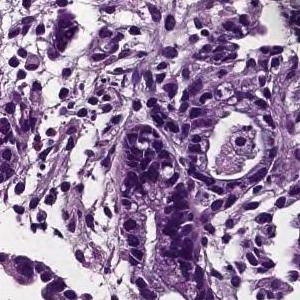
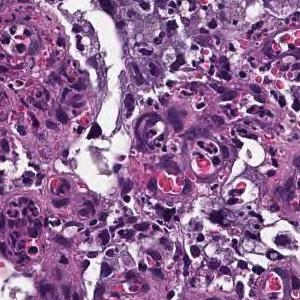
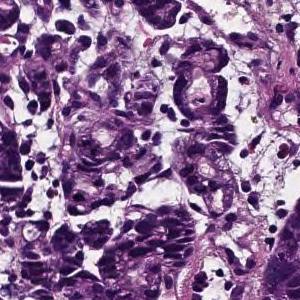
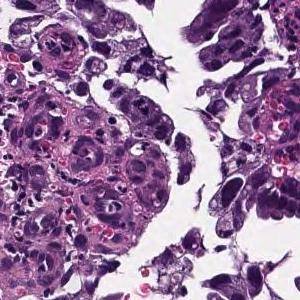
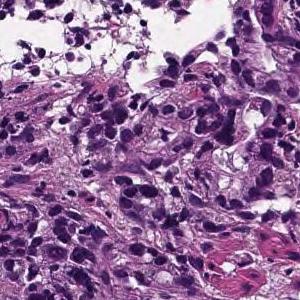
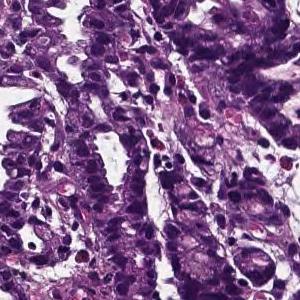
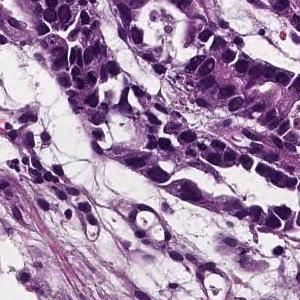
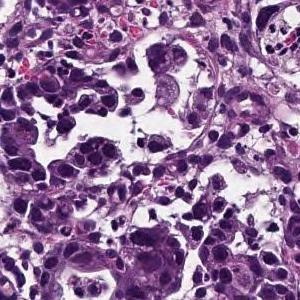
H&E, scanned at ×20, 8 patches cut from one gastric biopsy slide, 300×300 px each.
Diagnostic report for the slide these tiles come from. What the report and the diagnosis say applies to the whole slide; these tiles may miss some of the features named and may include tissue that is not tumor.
Medium to small, irregular glandular ducts are formed in the superficial epithelium, and in some cases, the glandular ducts are fused to show solid alveolar lesions and infiltrating tumor tissue is observed. Moderately to poorly differentiated adenocarcinoma.
